6 tiles from the same stomach biopsy slide.
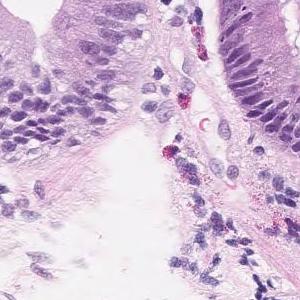
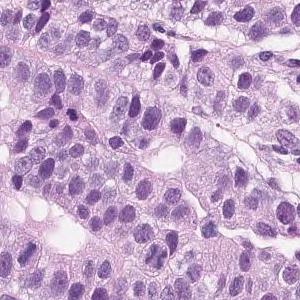
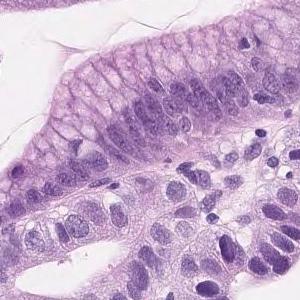
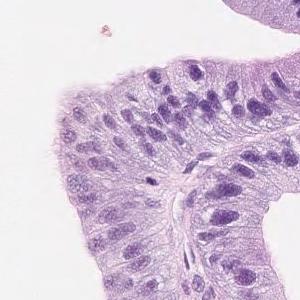
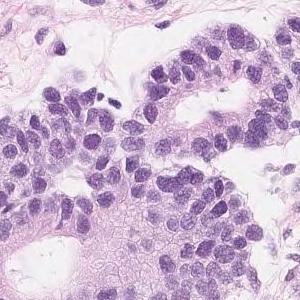
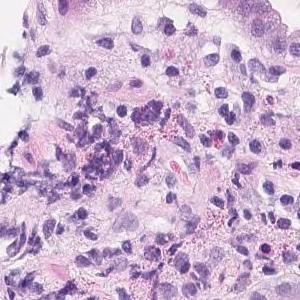
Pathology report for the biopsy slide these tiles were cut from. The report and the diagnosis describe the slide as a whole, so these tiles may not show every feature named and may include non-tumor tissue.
Short atypical epithelium with swelling of the nucleus shows proliferating, large and small irregular ductal structures. Well to moderately differentiated tubular adenocarcinoma (well differentiated tubular adenocarcinoma-moderately differentiated tubular adenocarcinoma)
Histological subtype: Well to moderately differentiated tubular adenocarcinoma.
